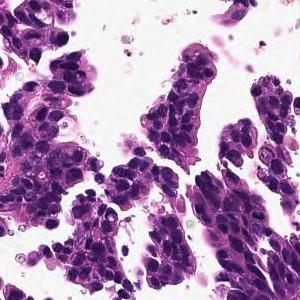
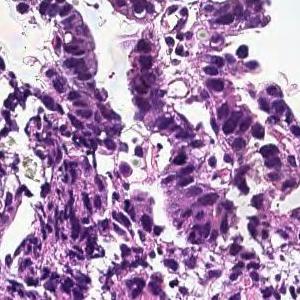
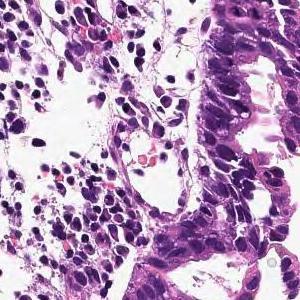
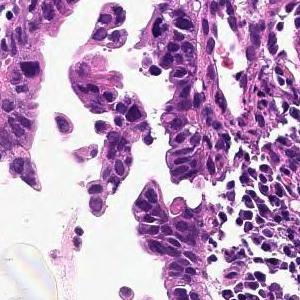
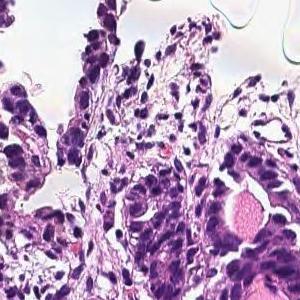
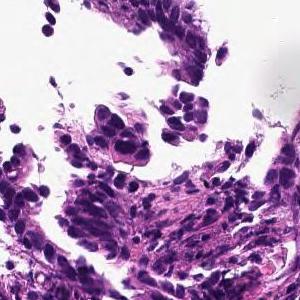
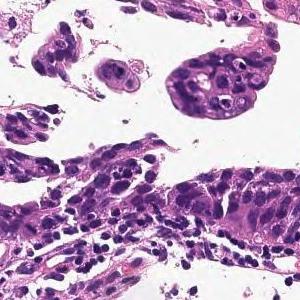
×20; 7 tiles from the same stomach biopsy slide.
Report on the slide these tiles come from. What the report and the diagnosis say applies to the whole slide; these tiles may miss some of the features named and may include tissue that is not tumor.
In the superficial epithelium, tumor tissue that invades by forming medium-sized to small, irregular ducts is observed. moderately differentiated tubular adenocarcinoma.
